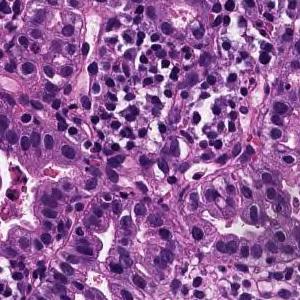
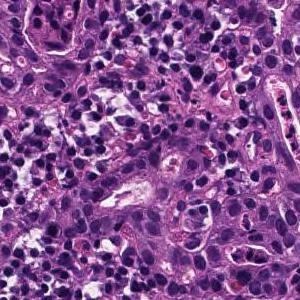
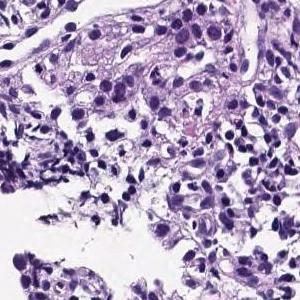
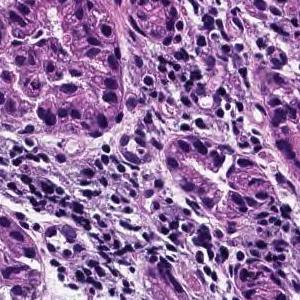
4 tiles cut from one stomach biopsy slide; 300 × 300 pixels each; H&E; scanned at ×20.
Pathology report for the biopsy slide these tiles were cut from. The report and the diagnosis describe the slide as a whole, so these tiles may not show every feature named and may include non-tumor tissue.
Medium to small, irregular glandular ducts are formed in the superficial epithelium, and in some cases, the glandular ducts are fused to show solid alveolar lesions and infiltrating tumor tissue is observed. Moderately to poorly differentiated adenocarcinoma.
